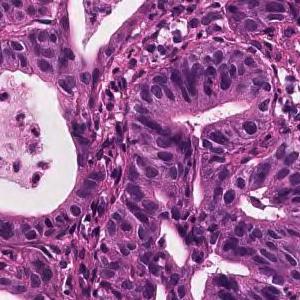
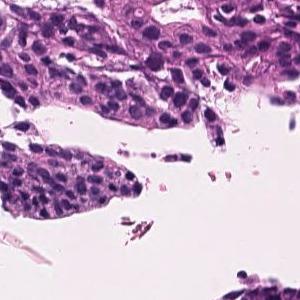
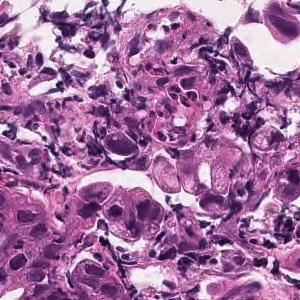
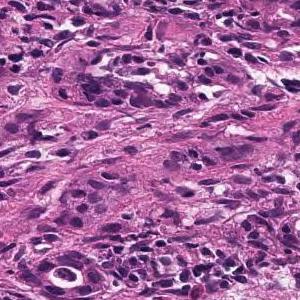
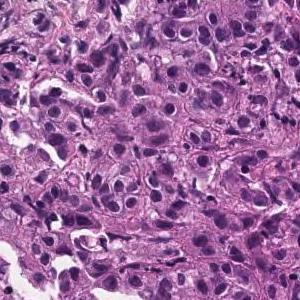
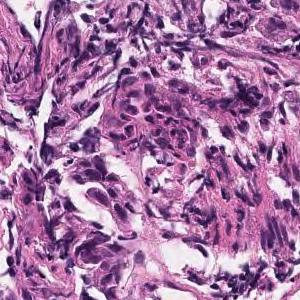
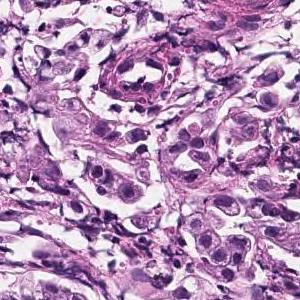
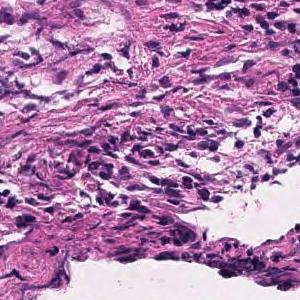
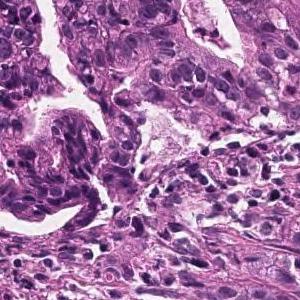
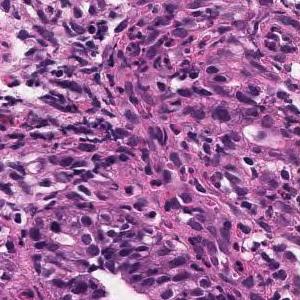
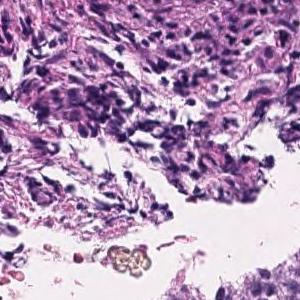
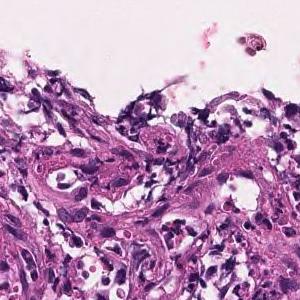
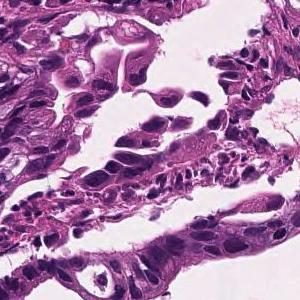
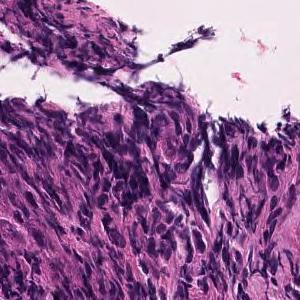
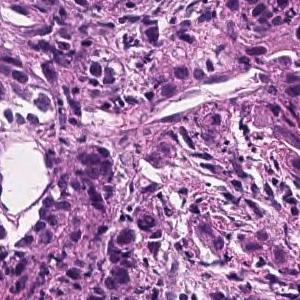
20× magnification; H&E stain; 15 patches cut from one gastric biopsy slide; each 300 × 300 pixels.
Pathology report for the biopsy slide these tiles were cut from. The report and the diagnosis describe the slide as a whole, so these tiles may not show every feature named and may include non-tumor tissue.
Tumor tissue consisting of medium-sized, cord-like or irregular glandular infiltration is observed in the superficial epithelium. Poorly differentiated adenocarcinoma, non-solid type or moderately differentiated tubular adenocarcinoma
The term "non-solid type" comes from the Japanese Classification of Gastric Carcinoma.
